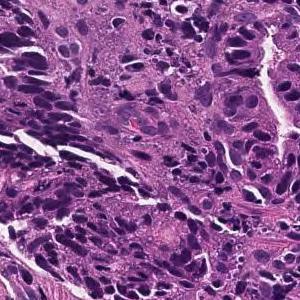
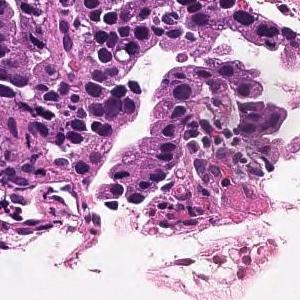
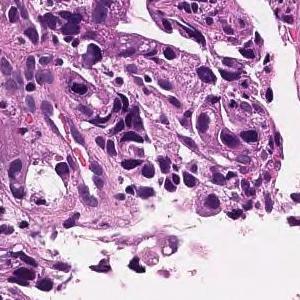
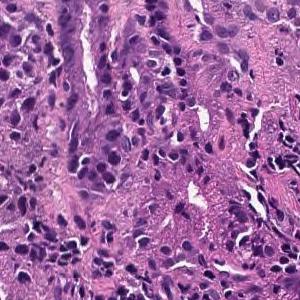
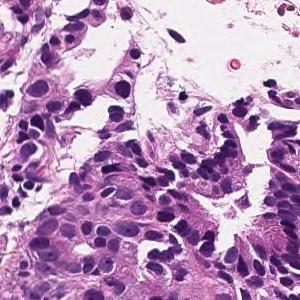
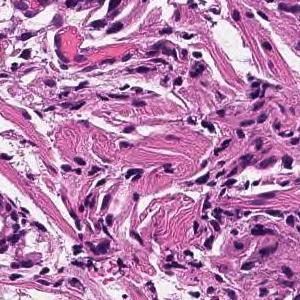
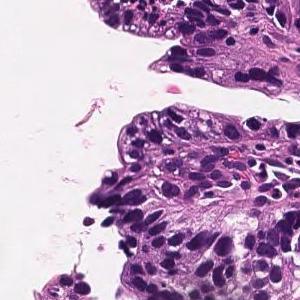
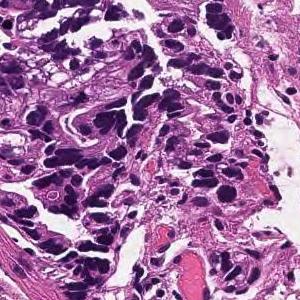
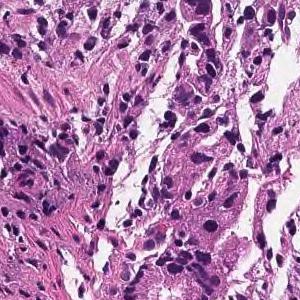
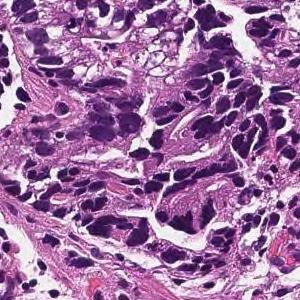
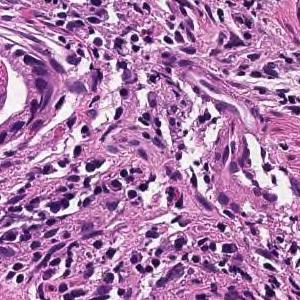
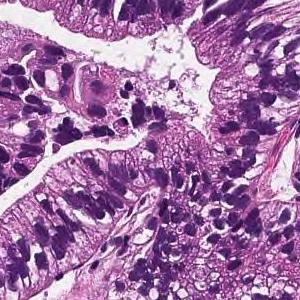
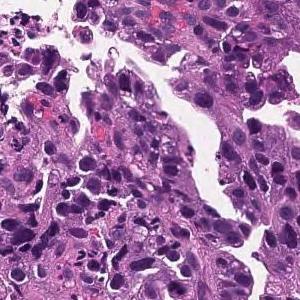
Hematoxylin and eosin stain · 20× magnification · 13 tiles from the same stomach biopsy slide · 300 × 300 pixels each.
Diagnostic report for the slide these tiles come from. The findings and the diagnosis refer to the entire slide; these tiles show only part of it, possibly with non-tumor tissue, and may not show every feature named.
On the superficial epithelium, tumor tissue is found in which medium-sized irregular gland ducts fuse with each other and infiltrate. moderately differentiated tubular adenocarcinoma or Poorly differentiated adenocarcinoma, non-solid type
Tumor subtype: moderately to poorly differentiated adenocarcinoma.
The term "non-solid type" comes from the Japanese Classification of Gastric Carcinoma.
